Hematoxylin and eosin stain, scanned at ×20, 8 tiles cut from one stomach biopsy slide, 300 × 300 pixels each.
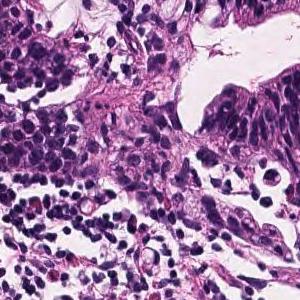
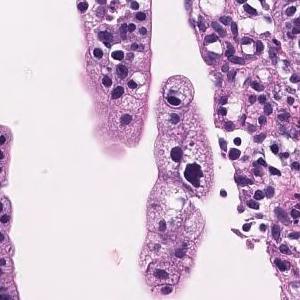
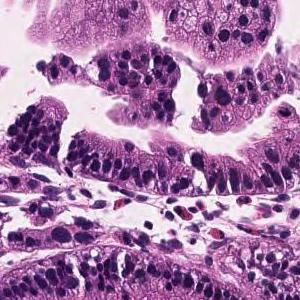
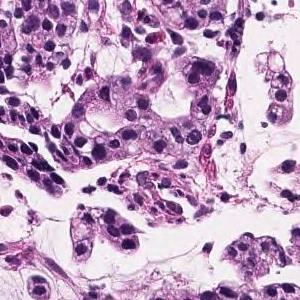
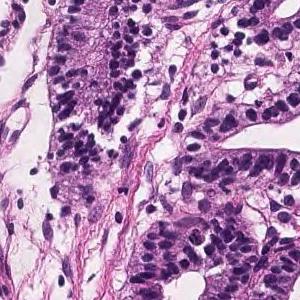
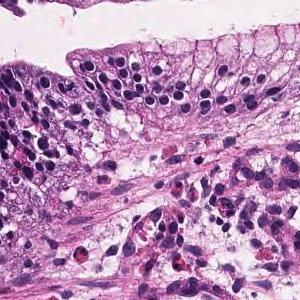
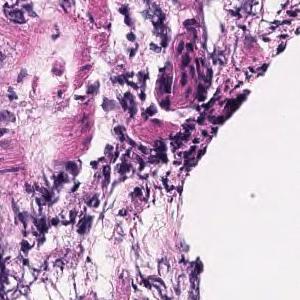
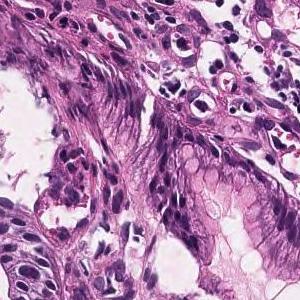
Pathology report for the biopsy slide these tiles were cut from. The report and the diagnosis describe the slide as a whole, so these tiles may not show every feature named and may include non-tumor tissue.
Tumor tissue consisting of large papillary structures or irregular glandular ducts partially fused and infiltrated is observed in the superficial epithelium. Well to moderately differentiated tubular adenocarcinoma.
Dataset label: moderately differentiated tubular adenocarcinoma.
